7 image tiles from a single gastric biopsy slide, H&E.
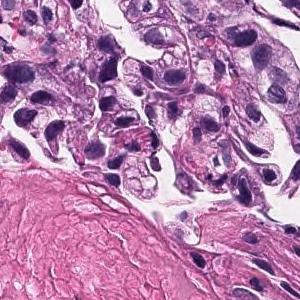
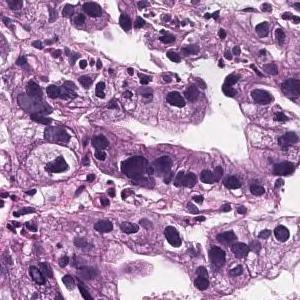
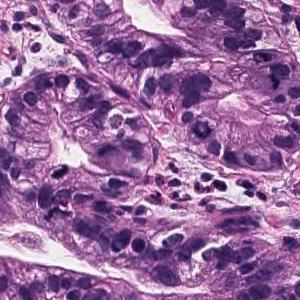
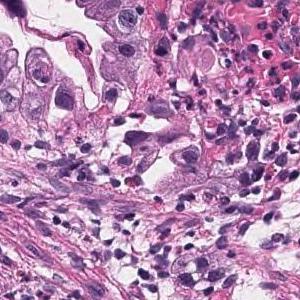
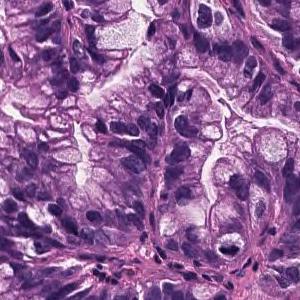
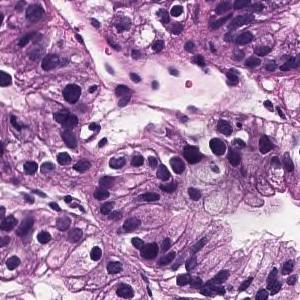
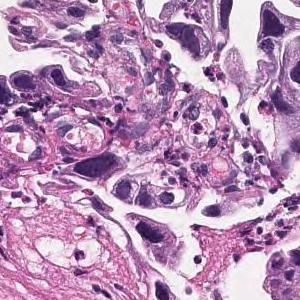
Diagnostic report for the slide these tiles come from. The report describes the whole slide, diagnosis included: not every finding it names need appear in these tiles, which may also show non-tumor tissue.
Tumor cells are large, highly columnar, large club-shaped nuclei, and are associated with chromatin aggregation. Papillary adenocarcinoma.
